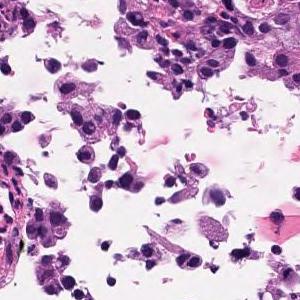
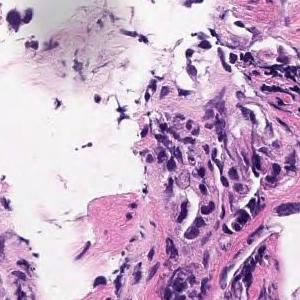
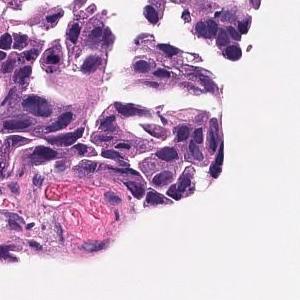
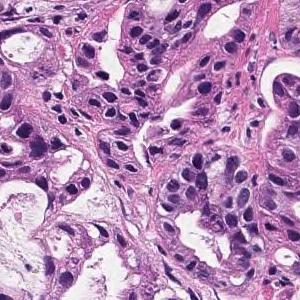
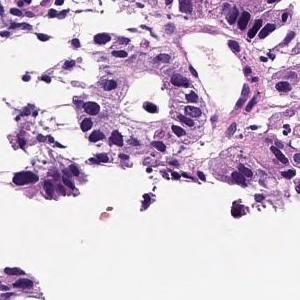
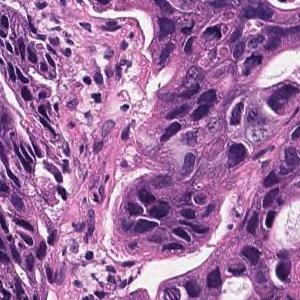
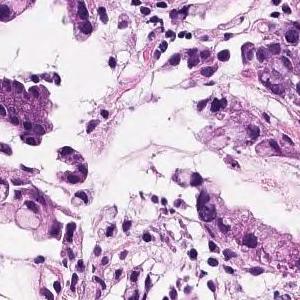
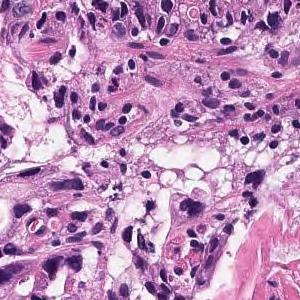
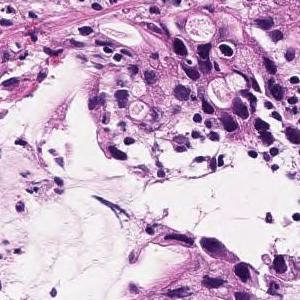
9 tiles from the same stomach biopsy slide; each 300 × 300 pixels; 20× magnification.
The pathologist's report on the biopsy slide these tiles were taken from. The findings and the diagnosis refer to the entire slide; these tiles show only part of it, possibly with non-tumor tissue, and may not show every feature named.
In the superficial epithelium, tumor tissue that invades by forming medium-sized to small, irregular ducts is observed. Moderately differentiated adenocarcinoma.
Classified as moderately differentiated tubular adenocarcinoma.
